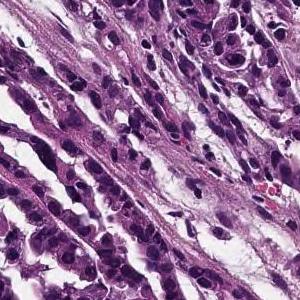
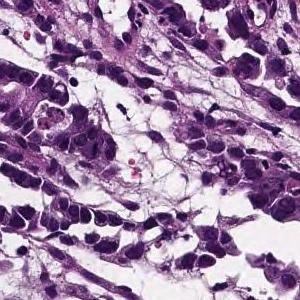
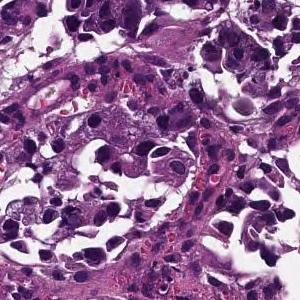
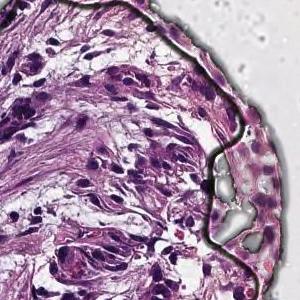
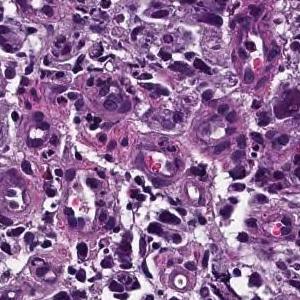
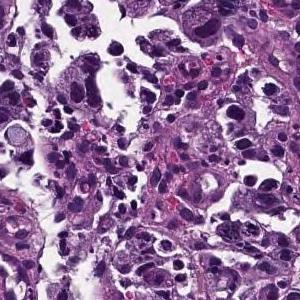
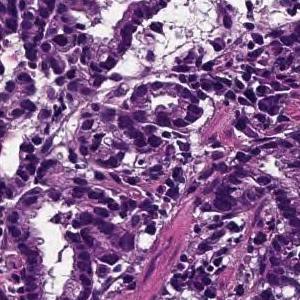
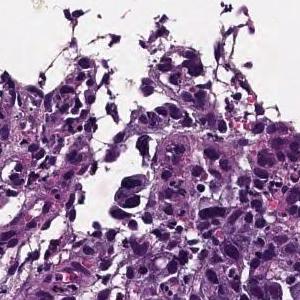
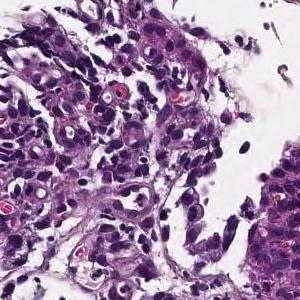
Hematoxylin and eosin stain · ×20 · 9 patches cut from one gastric biopsy slide.
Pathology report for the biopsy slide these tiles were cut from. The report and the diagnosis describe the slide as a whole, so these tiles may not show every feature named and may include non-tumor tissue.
Medium to small, irregular glandular ducts are formed in the superficial epithelium, and in some cases, the glandular ducts are fused to show solid alveolar lesions and infiltrating tumor tissue is observed. Moderately to poorly differentiated adenocarcinoma.
